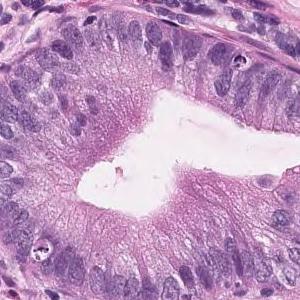
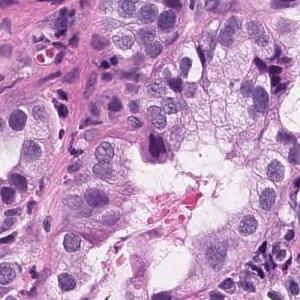
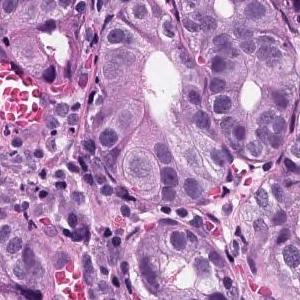
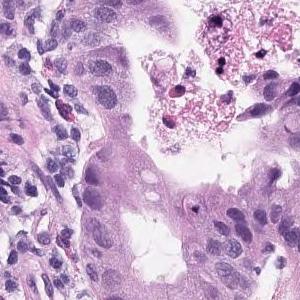
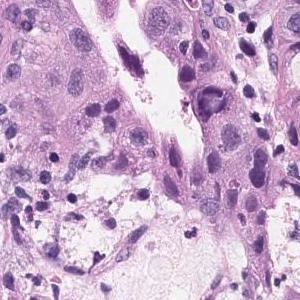
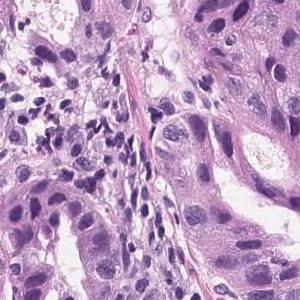
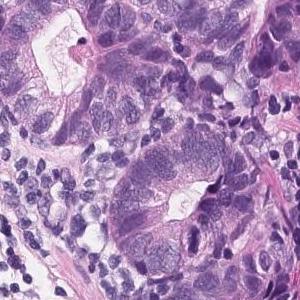
7 tiles from the same stomach biopsy slide · 300 × 300 pixels each · hematoxylin and eosin stain · scanned at ×20.
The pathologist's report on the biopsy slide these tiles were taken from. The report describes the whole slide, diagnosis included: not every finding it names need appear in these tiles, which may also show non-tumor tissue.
Tumor tissue consisting of medium-sized and irregular ducts is observed infiltrating in the superficial epithelium. Tumor cells are highly columnar, with nuclei aligned basolaterally and polarized. Well differentiated tubular adenocarcinoma.
